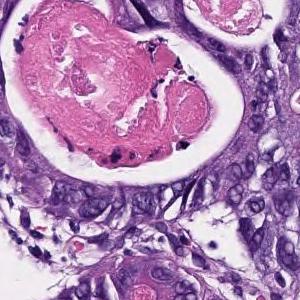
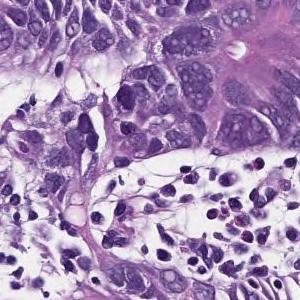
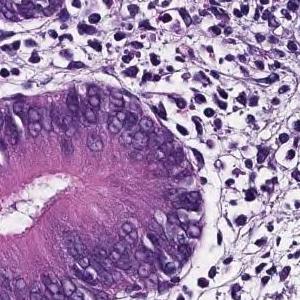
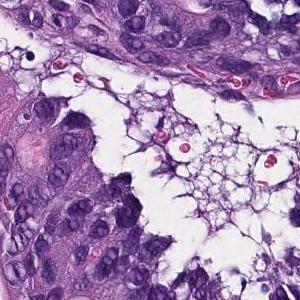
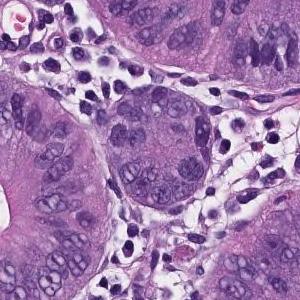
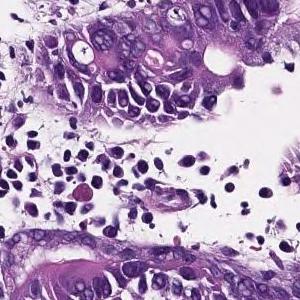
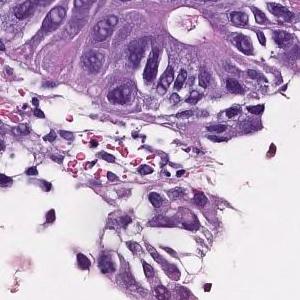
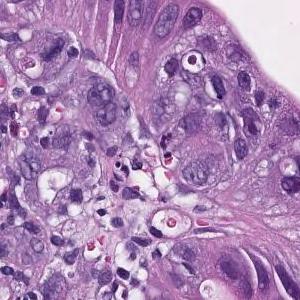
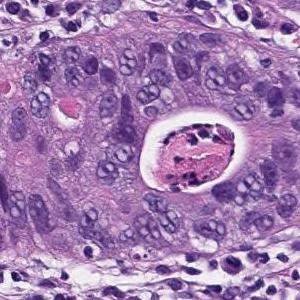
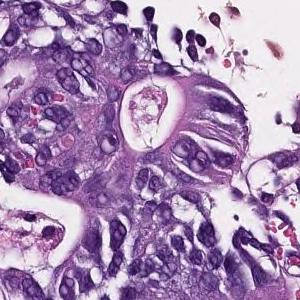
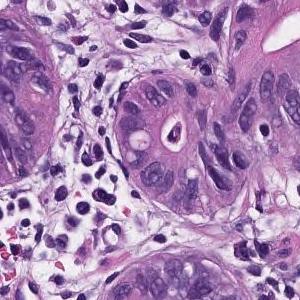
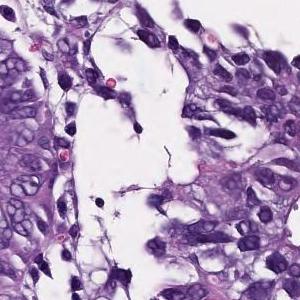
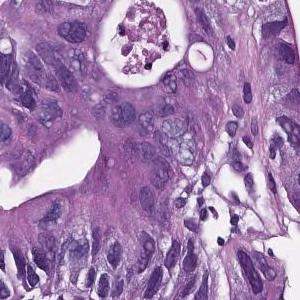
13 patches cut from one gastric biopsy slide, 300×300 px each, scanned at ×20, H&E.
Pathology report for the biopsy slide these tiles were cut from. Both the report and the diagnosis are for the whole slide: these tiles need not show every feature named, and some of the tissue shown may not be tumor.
In the superficial epithelium, tumor tissue that invades by forming medium-sized to small, irregular ducts is observed. moderately differentiated tubular adenocarcinoma.
